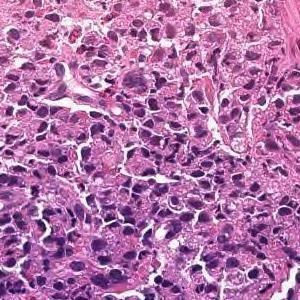
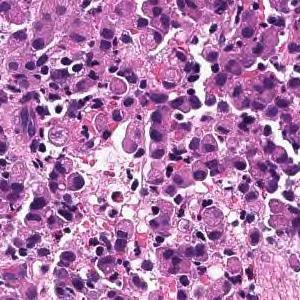
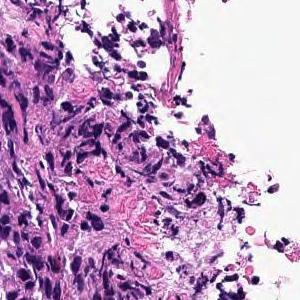
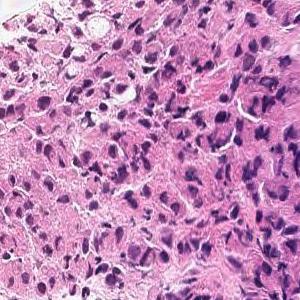
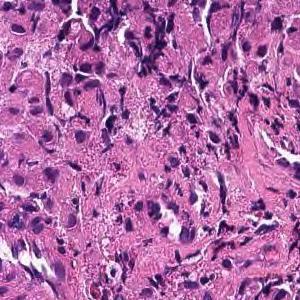
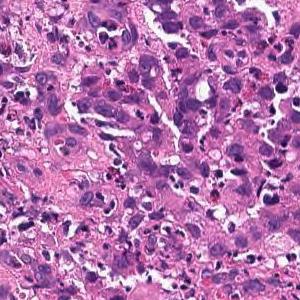
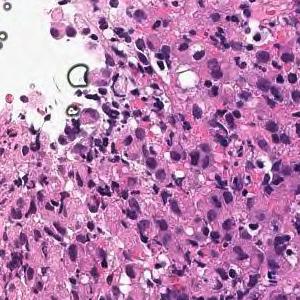
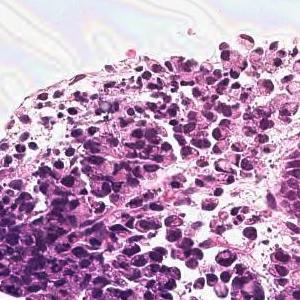
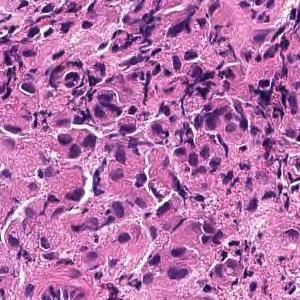
H&E stain, ×20, 9 patches cut from one gastric biopsy slide.
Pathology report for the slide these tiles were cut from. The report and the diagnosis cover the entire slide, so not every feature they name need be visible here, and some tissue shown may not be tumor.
Tumor tissue consisting of diffusely infiltrated large atypical epithelial cells or signet ring atypical cells is observed in the superficial epithelium. Poorly differentiated adenocarcinoma, solid-type
Histological subtype: Poorly differentiated adenocarcinoma, solid type, a category of the Japanese Classification of Gastric Carcinoma; in the WHO 2019 classification it is tubular adenocarcinoma, poorly differentiated.
